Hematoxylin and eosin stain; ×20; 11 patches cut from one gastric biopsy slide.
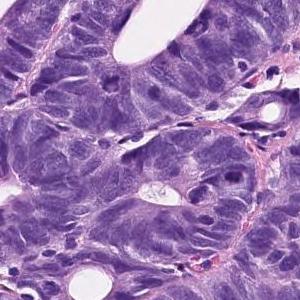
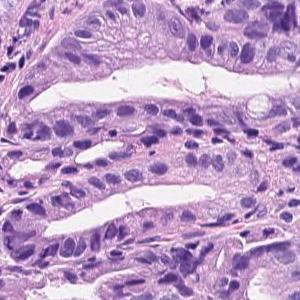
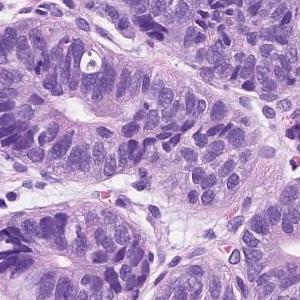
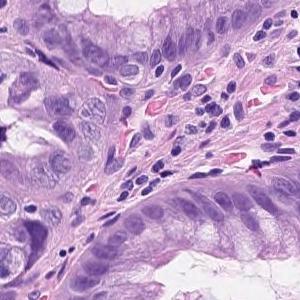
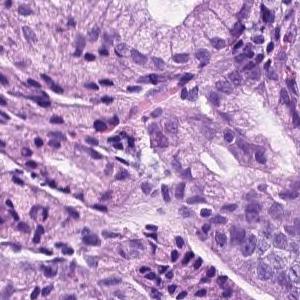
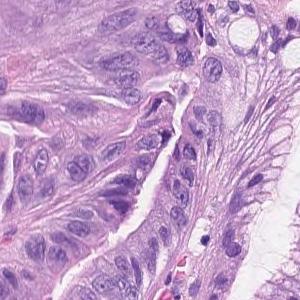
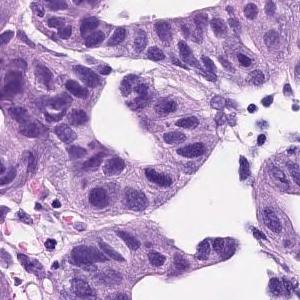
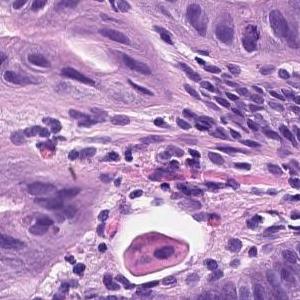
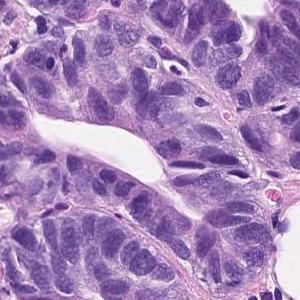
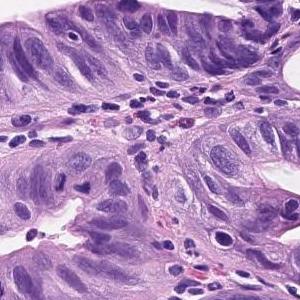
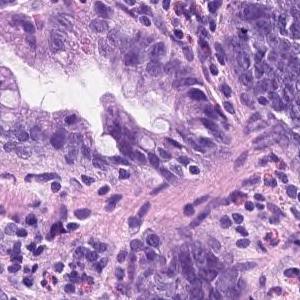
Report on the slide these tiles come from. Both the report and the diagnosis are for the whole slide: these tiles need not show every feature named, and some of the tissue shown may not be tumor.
Tumor tissue consisting of medium-sized and irregular ducts is observed infiltrating in the superficial epithelium. Tumor cells are highly columnar, with nuclei aligned basolaterally and polarized. Well differentiated tubular adenocarcinoma.
